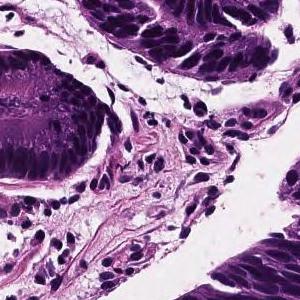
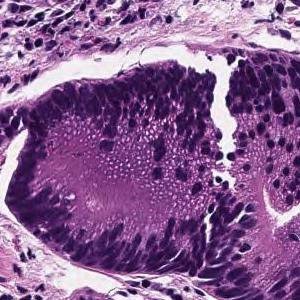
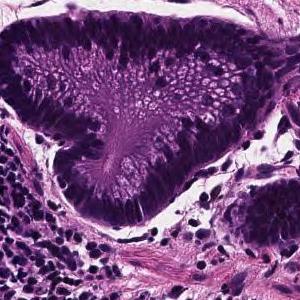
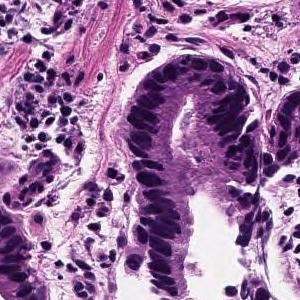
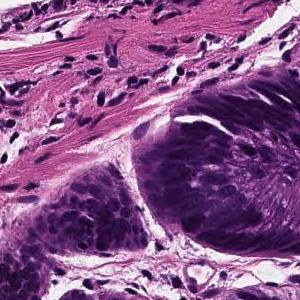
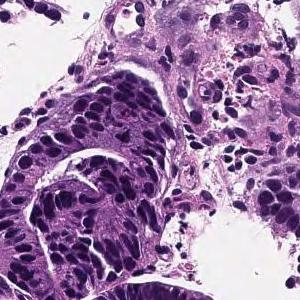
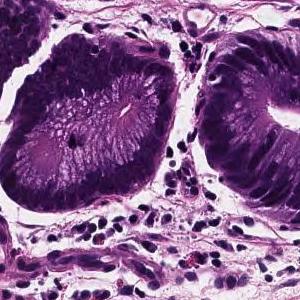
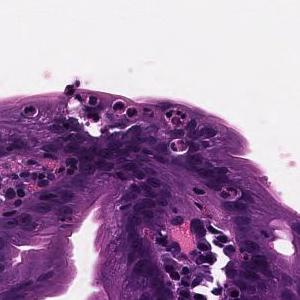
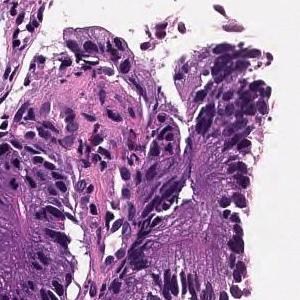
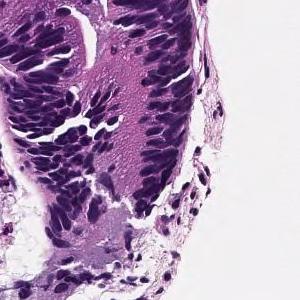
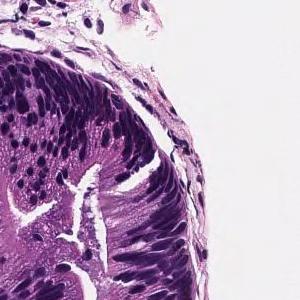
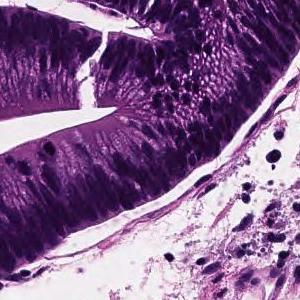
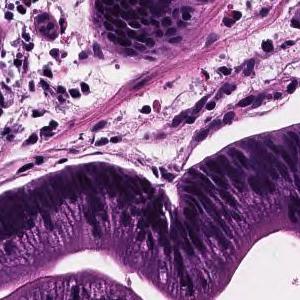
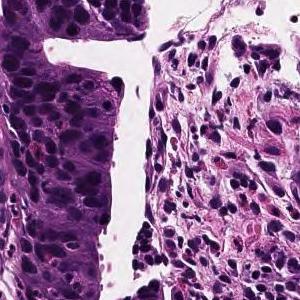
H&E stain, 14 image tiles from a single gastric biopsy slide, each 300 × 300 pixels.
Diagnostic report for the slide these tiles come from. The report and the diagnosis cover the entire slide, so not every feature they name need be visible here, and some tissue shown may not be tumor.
Tumor cells are large, highly columnar, large club-shaped nuclei, and are associated with chromatin aggregation. Papillary adenocarcinoma.
